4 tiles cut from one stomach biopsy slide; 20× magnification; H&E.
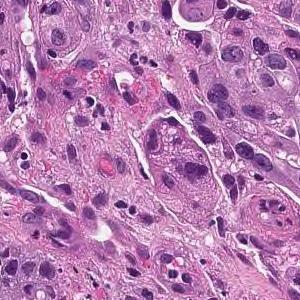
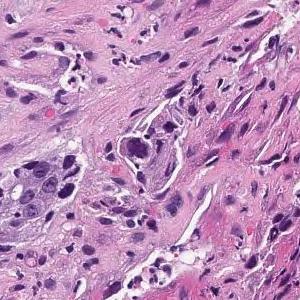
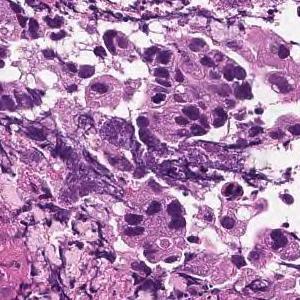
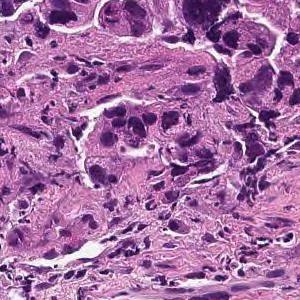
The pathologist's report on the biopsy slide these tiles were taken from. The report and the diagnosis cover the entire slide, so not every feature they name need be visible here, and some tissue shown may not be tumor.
Tumor tissue consisting of cord-like or small, irregular glandular ducts fused and infiltrated is observed in the superficial epithelium. Poorly differentiated adenocarcinoma, non-solid type
The non-solid type named here is a Japanese Classification of Gastric Carcinoma category.
